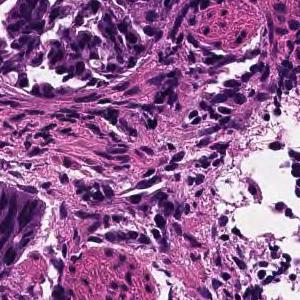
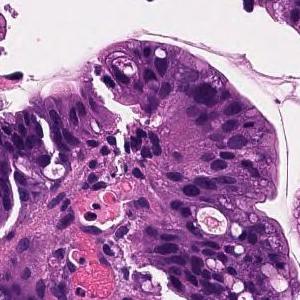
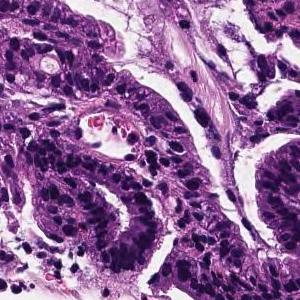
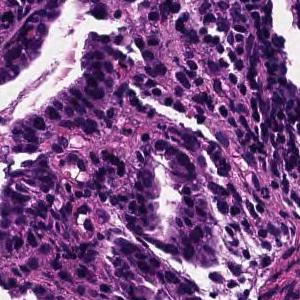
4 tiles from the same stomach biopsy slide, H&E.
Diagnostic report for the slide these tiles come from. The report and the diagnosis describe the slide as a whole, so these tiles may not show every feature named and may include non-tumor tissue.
On the superficial epithelium, tumor tissue that infiltrates by forming medium-sized papillary or small irregular ducts is observed. Papillary adenocarcinoma
